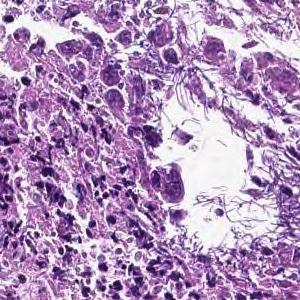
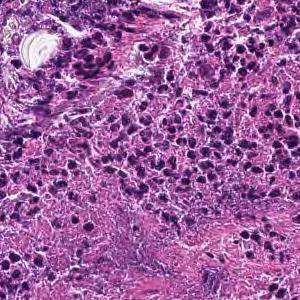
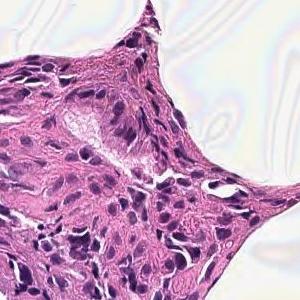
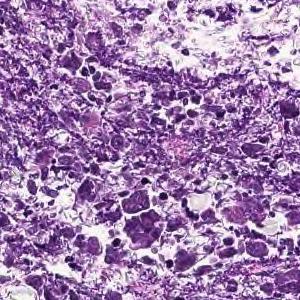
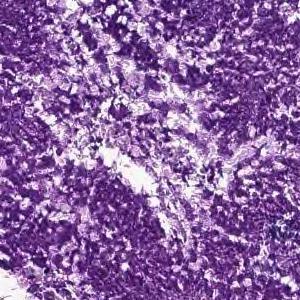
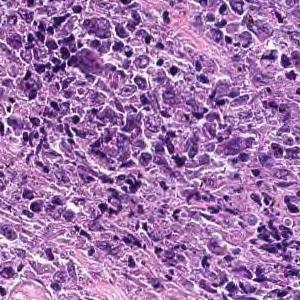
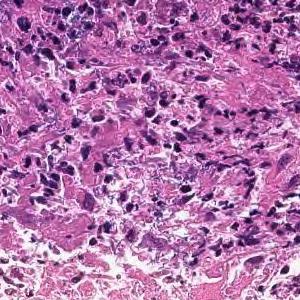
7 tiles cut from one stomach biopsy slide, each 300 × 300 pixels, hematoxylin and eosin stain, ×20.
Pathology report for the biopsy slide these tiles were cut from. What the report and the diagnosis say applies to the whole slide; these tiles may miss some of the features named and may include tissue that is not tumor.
Cancers with polygonal nuclei do not show glandular formation and are densely, in part, cord-like and proliferate. Poorly differentiated adenocarcinoma
Histologic type: Poorly differentiated adenocarcinoma, non-solid type.
The term "non-solid type" comes from the Japanese Classification of Gastric Carcinoma.
